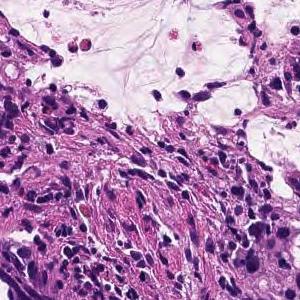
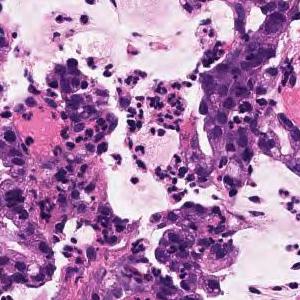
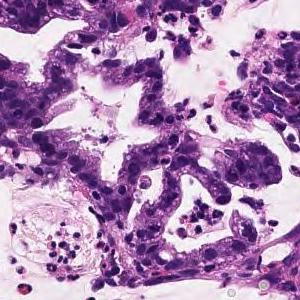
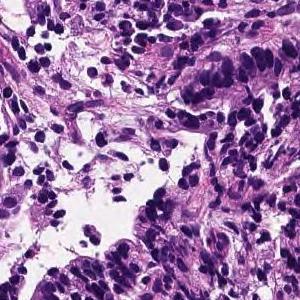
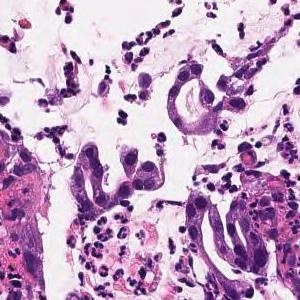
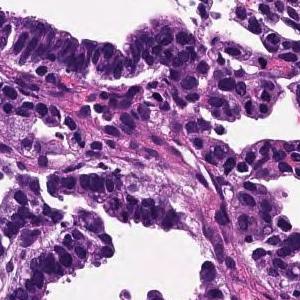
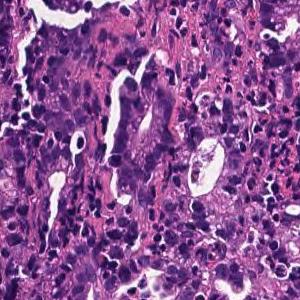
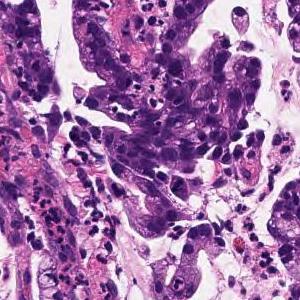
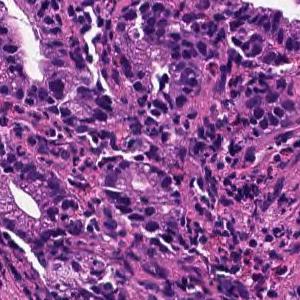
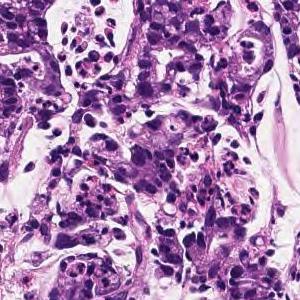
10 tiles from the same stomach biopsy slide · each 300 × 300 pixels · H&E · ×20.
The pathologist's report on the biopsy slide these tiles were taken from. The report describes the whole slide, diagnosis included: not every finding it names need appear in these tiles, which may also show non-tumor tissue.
On the superficial epithelium, tumor tissue consisting of large, irregular glandular ducts partially fused and infiltrated is observed. Well to moderately differentiated tubular adenocarcinoma (well differentiated tubular adenocarcinoma, moderately differentiated tubular adenocarcinoma)
Tumor subtype: well to moderately differentiated tubular adenocarcinoma.
